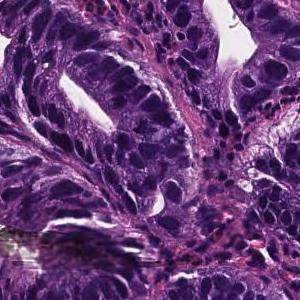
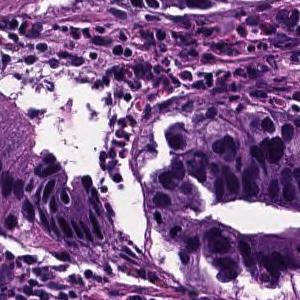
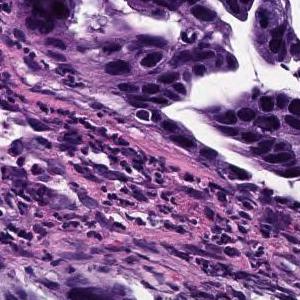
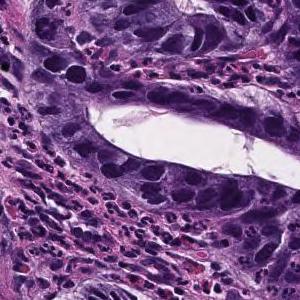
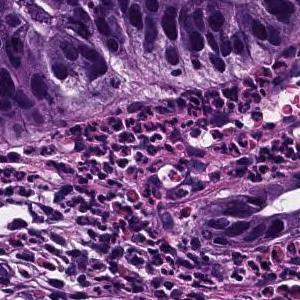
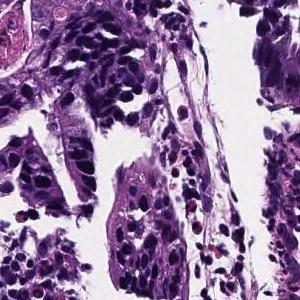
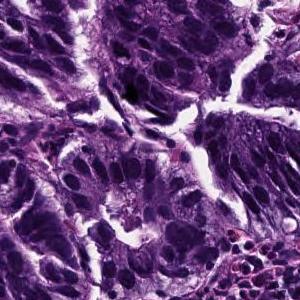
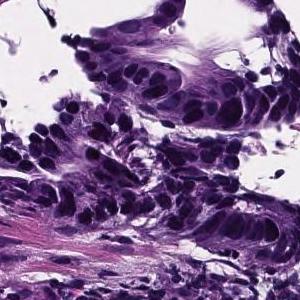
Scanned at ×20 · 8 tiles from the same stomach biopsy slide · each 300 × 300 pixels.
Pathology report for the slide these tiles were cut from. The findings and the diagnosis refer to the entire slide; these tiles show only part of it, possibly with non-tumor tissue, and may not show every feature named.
In the superficial epithelium, tumor tissue that invades by forming medium-sized to small, irregular ducts is observed. Moderately differentiated adenocarcinoma.
Classified as moderately differentiated tubular adenocarcinoma.
